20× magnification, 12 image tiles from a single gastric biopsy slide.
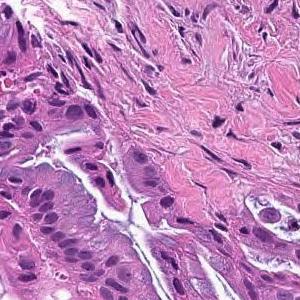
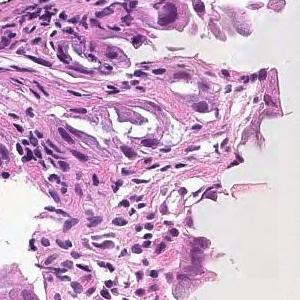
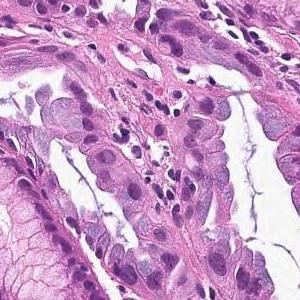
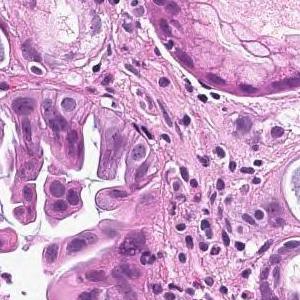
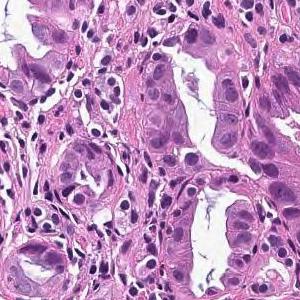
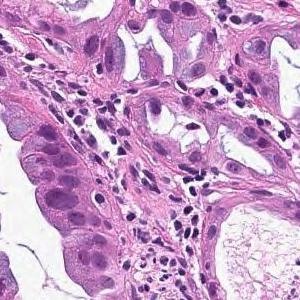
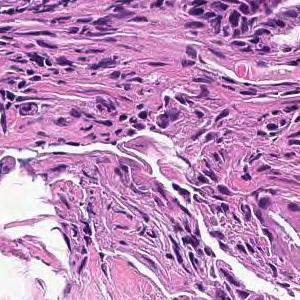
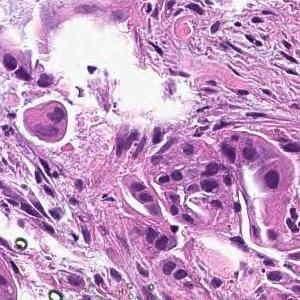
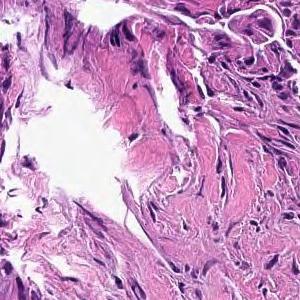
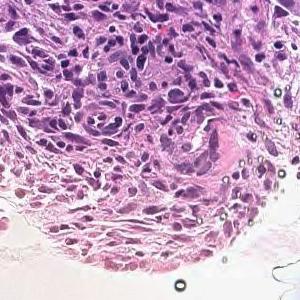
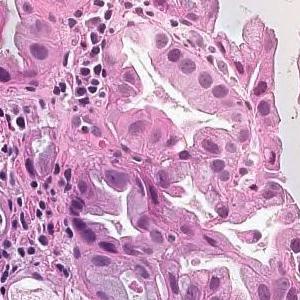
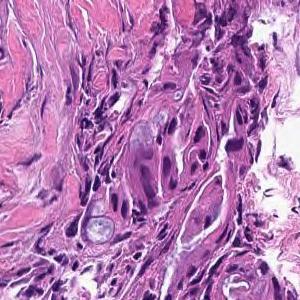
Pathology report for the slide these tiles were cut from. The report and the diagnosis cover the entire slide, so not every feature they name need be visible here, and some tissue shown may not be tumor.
From the superficial epithelium to the muscularis mucosae, tumor tissue consisting of medium-sized and irregular glandular ducts infiltrating is observed. Well differentiated tubular adenocarcinoma
